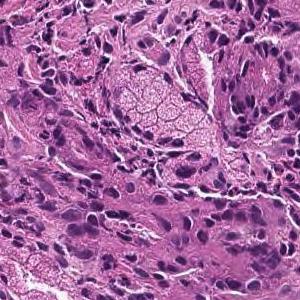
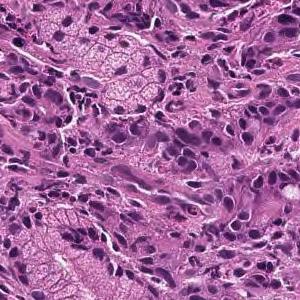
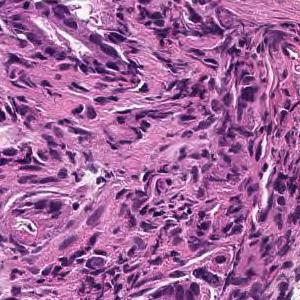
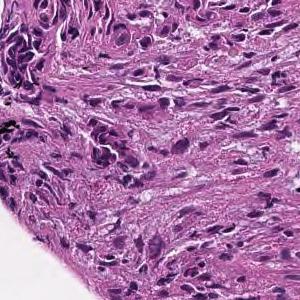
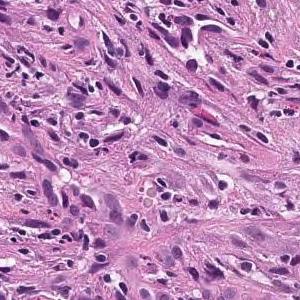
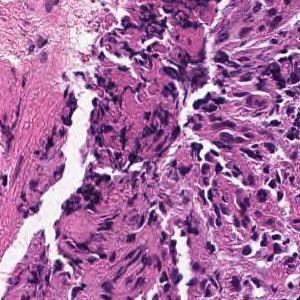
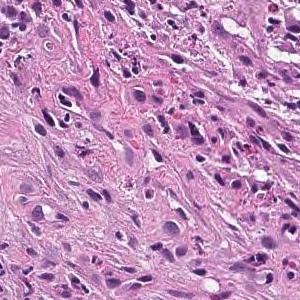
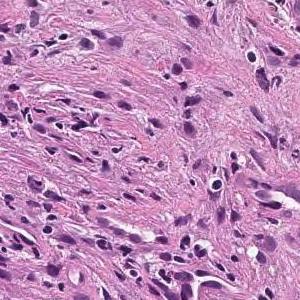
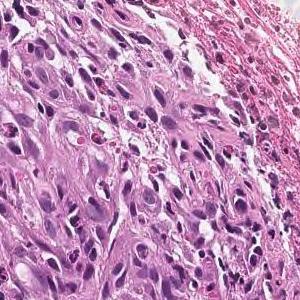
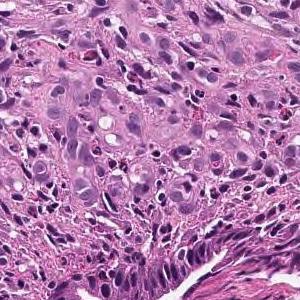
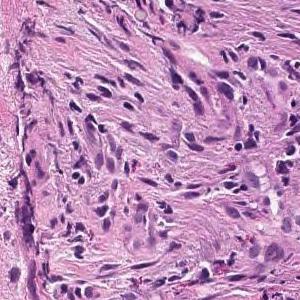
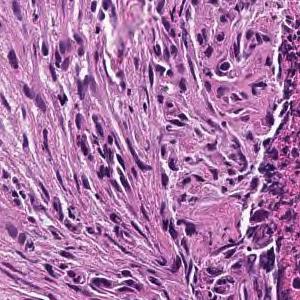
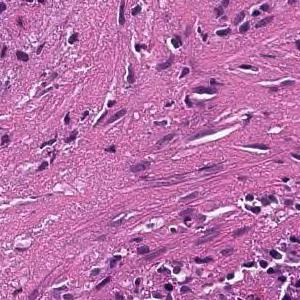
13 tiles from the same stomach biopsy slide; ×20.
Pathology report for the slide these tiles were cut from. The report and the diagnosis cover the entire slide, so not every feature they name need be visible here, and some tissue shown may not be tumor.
In the superficial epithelium, tumor tissue that invades by forming medium-sized to small, irregular ducts is observed. moderately differentiated tubular adenocarcinoma.
